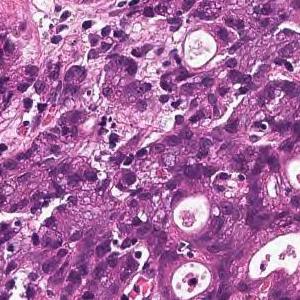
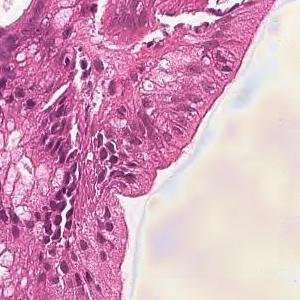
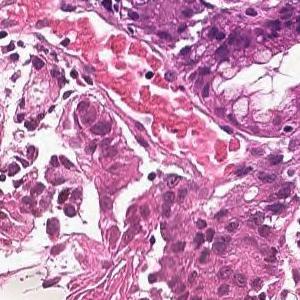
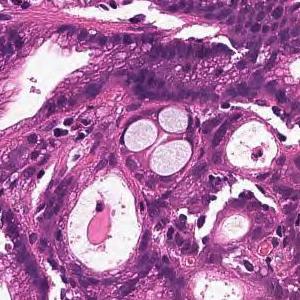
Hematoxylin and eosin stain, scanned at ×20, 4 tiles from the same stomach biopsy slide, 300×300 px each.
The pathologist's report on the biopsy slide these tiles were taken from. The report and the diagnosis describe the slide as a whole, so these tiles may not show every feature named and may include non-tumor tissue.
In the superficial epithelium, tumor tissue that invades by forming medium-sized to small, irregular ducts is observed. moderately differentiated tubular adenocarcinoma.
